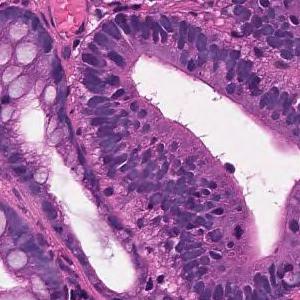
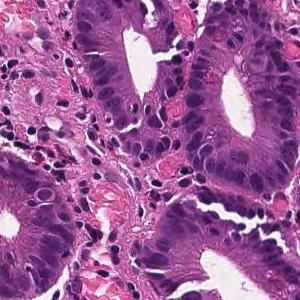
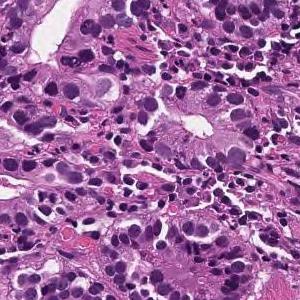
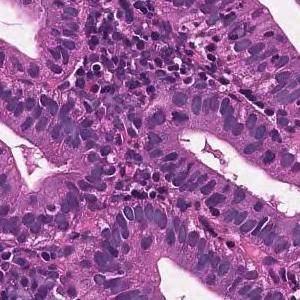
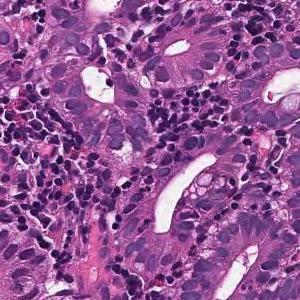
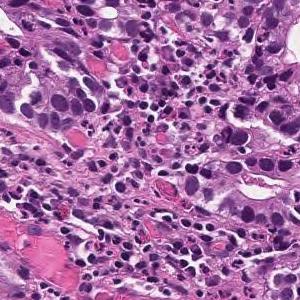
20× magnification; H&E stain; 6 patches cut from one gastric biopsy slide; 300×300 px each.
Pathology report for the slide these tiles were cut from. What the report and the diagnosis say applies to the whole slide; these tiles may miss some of the features named and may include tissue that is not tumor.
From the superficial epithelium to the muscularis mucosae, tumor tissue consisting of medium-sized and irregular glandular ducts infiltrating is observed. Well differentiated tubular adenocarcinoma
